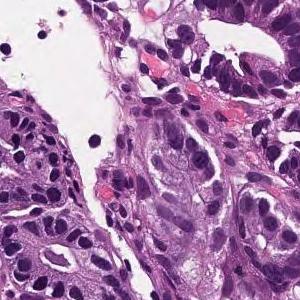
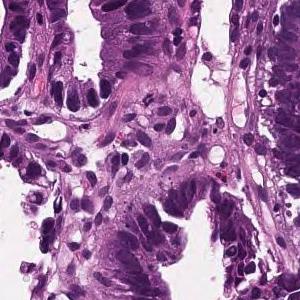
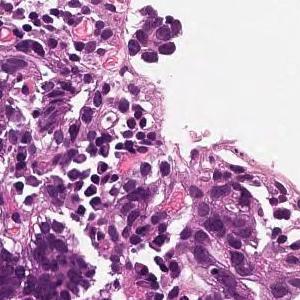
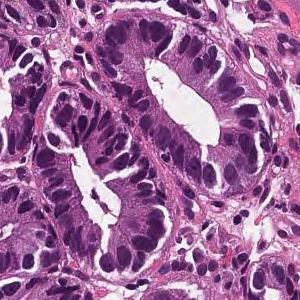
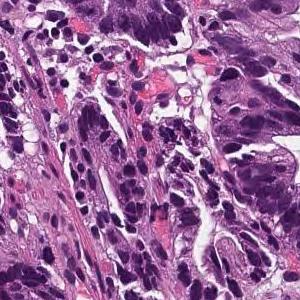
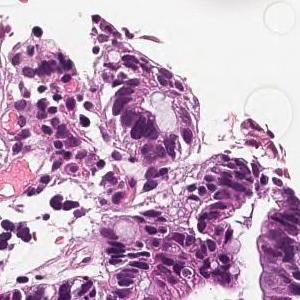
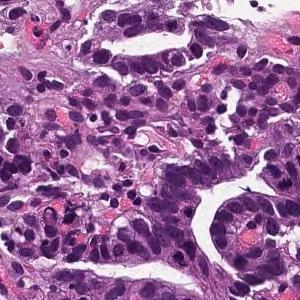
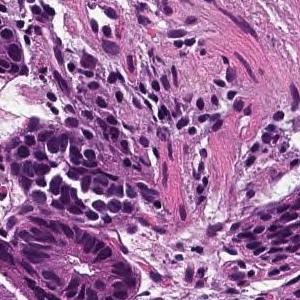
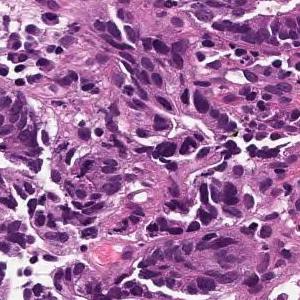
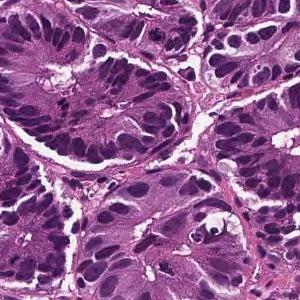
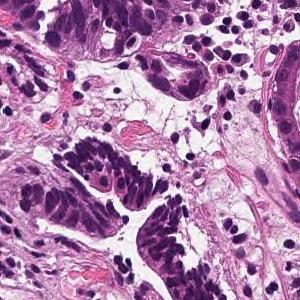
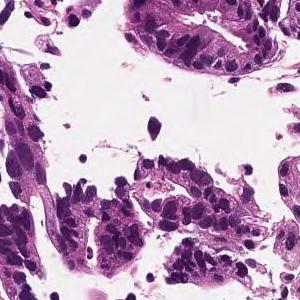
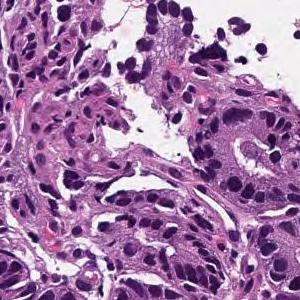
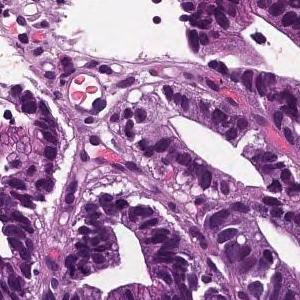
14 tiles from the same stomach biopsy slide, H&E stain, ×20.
Diagnostic report for the slide these tiles come from. What the report and the diagnosis say applies to the whole slide; these tiles may miss some of the features named and may include tissue that is not tumor.
From the superficial epithelium to the muscularis mucosae, tumor tissue consisting of medium-sized and irregular glandular ducts infiltrating is observed. Well differentiated tubular adenocarcinoma
